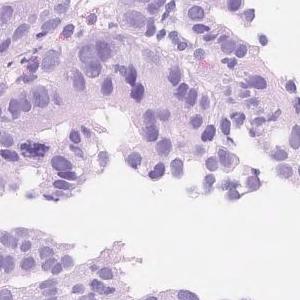
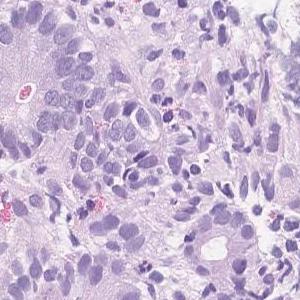
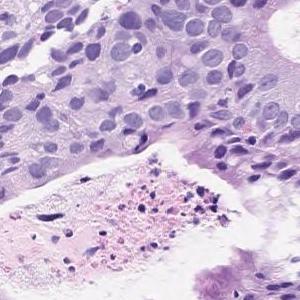
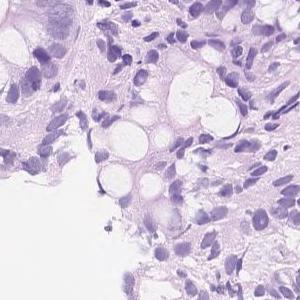
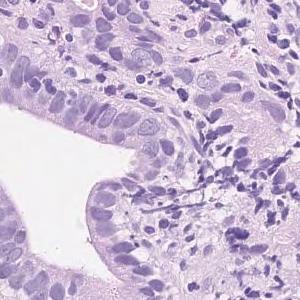
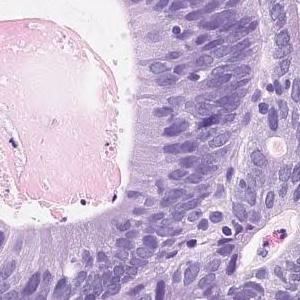
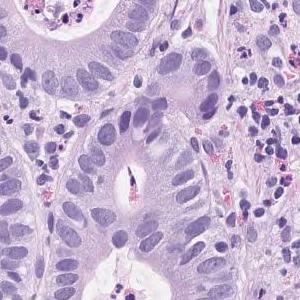
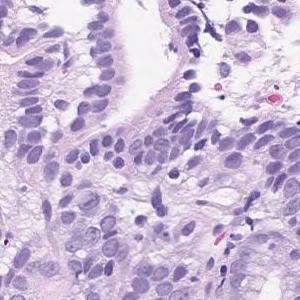
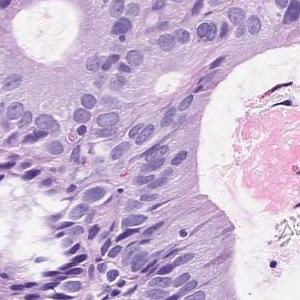
Hematoxylin and eosin stain · 20× magnification · 9 tiles cut from one stomach biopsy slide · 300 × 300 pixels each.
Pathology report for the slide these tiles were cut from. What the report and the diagnosis say applies to the whole slide; these tiles may miss some of the features named and may include tissue that is not tumor.
On the superficial epithelium, tumor tissue consisting of medium to small irregular tubules partially fused and proliferated is observed. moderately differentiated tubular adenocarcinoma
